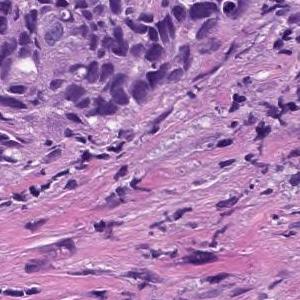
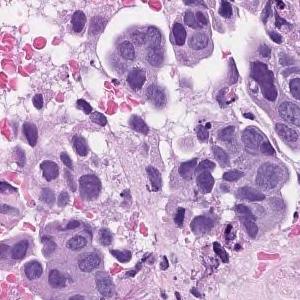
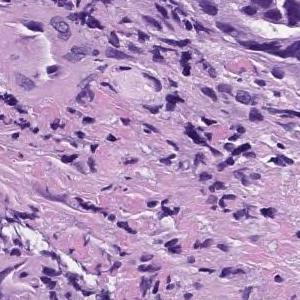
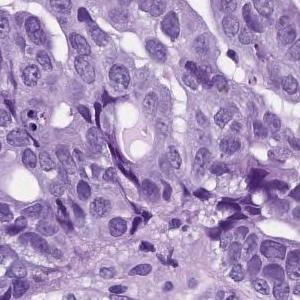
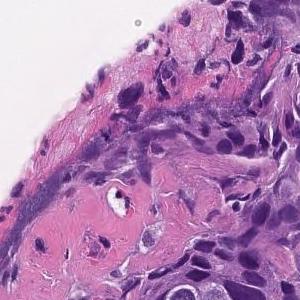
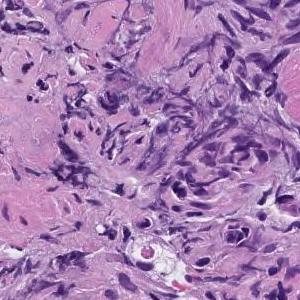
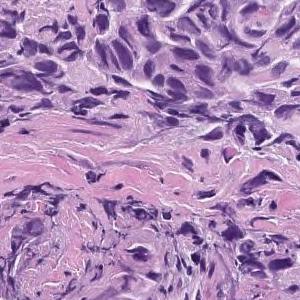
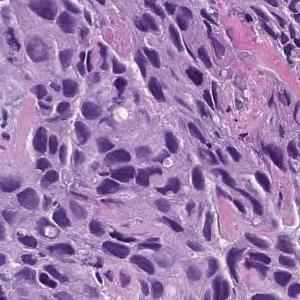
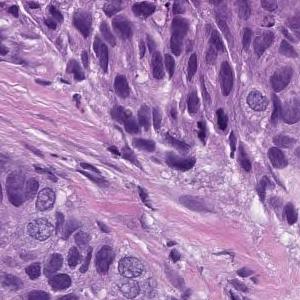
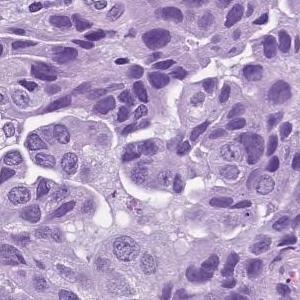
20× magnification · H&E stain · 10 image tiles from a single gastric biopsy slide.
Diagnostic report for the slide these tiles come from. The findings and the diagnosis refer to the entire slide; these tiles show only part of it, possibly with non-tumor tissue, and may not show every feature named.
In the superficial epithelium, tumor tissue that invades by forming medium-sized to small, irregular ducts is observed. moderately differentiated tubular adenocarcinoma.
